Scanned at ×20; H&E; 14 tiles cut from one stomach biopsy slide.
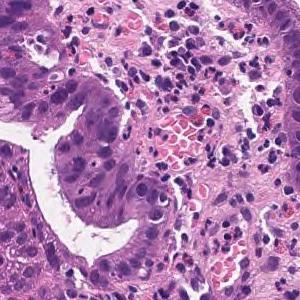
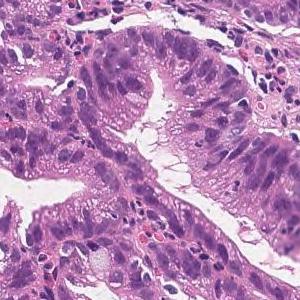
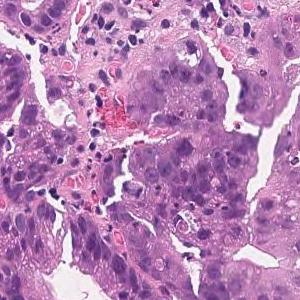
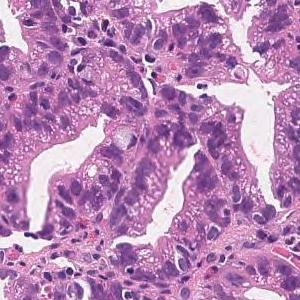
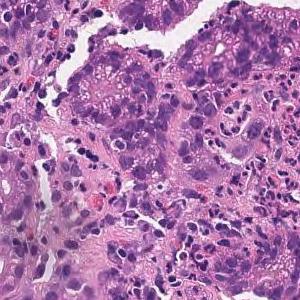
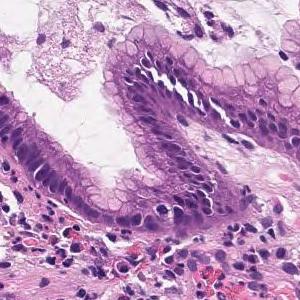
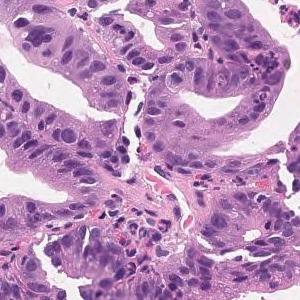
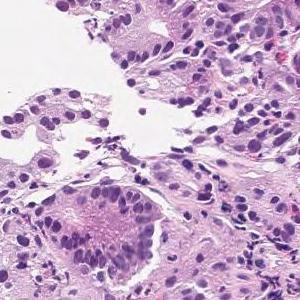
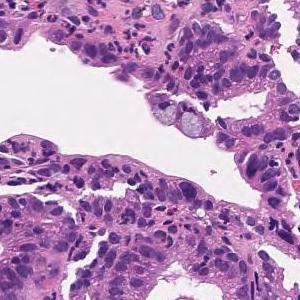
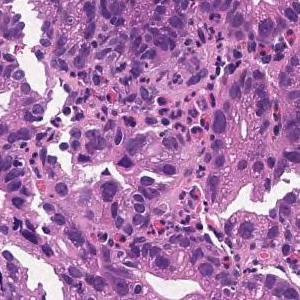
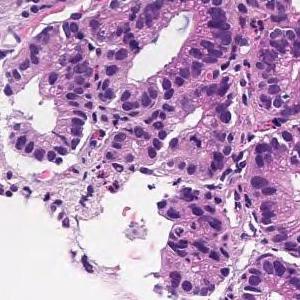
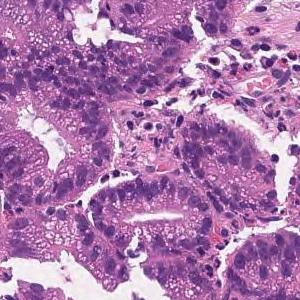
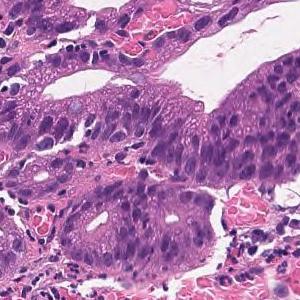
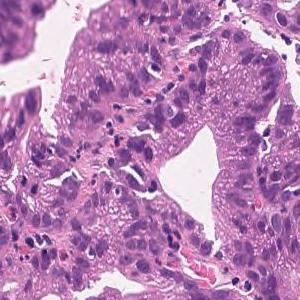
Diagnostic report for the slide these tiles come from. The report and the diagnosis cover the entire slide, so not every feature they name need be visible here, and some tissue shown may not be tumor.
On the superficial epithelium, tumor tissue that infiltrates by forming medium-sized papillary or small irregular ducts is observed. Papillary adenocarcinoma
